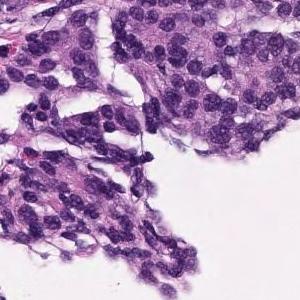
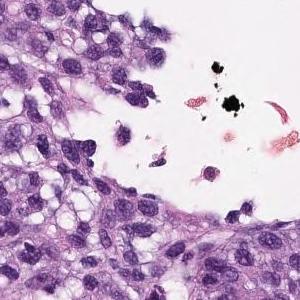
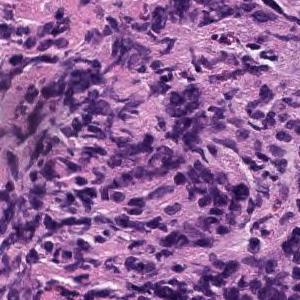
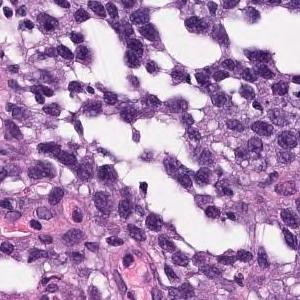
H&E stain; 4 tiles from the same stomach biopsy slide; 300×300 px each.
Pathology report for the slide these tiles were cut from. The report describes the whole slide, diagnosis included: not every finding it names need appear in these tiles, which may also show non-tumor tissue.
In the superficial epithelium, tumor tissue that invades by forming medium-sized to small, irregular ducts is observed. Moderately differentiated adenocarcinoma.
Classified as moderately differentiated tubular adenocarcinoma.
